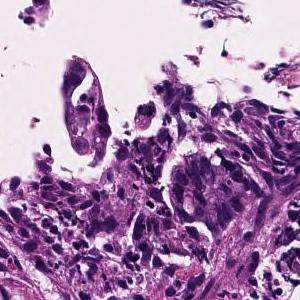
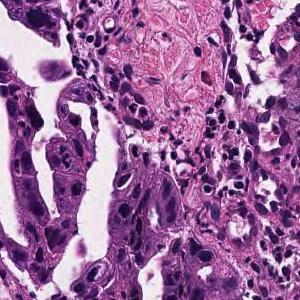
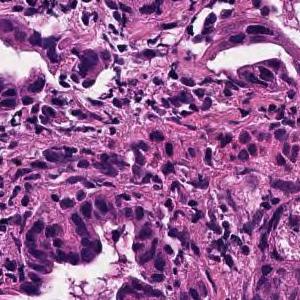
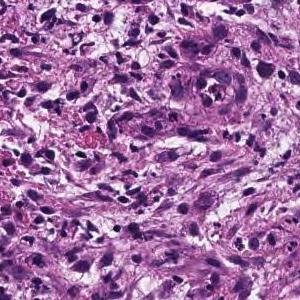
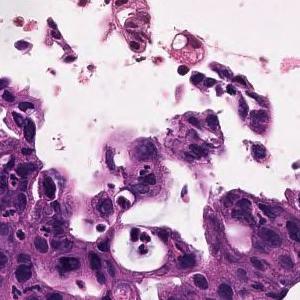
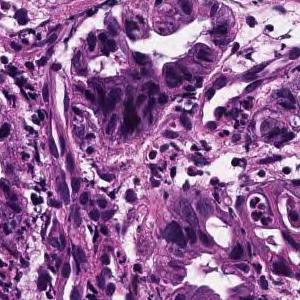
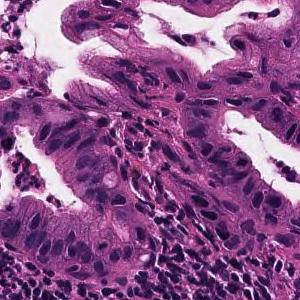
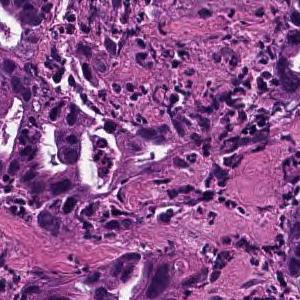
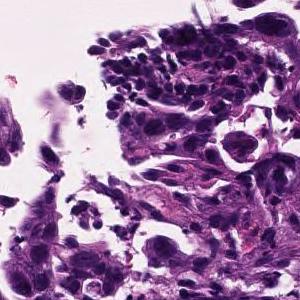
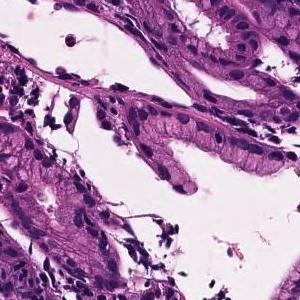
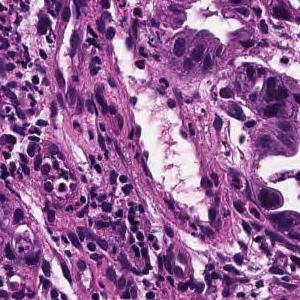
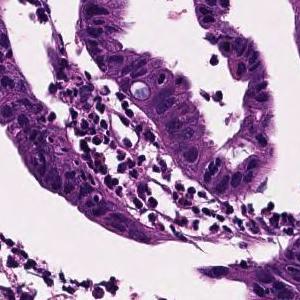
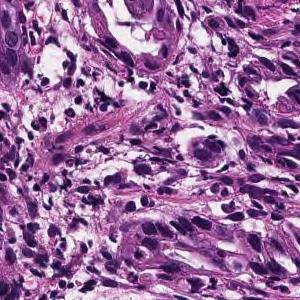
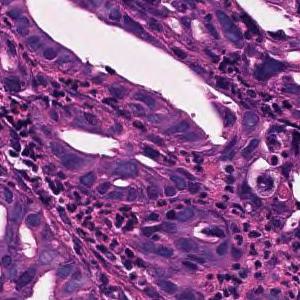
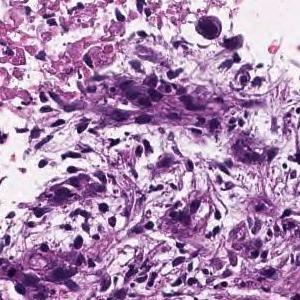
Hematoxylin and eosin stain, scanned at ×20, 15 image tiles from a single gastric biopsy slide, each 300 × 300 pixels.
The pathologist's report on the biopsy slide these tiles were taken from. What the report and the diagnosis say applies to the whole slide; these tiles may miss some of the features named and may include tissue that is not tumor.
In the superficial epithelium, medium-sized to small irregular glandular ducts are formed, and in some cases, the glandular ducts are fused or small cord-like infiltrating tumor tissue is observed. moderately differentiated tubular adenocarcinoma
